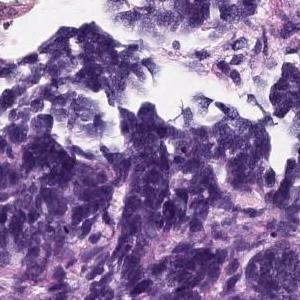
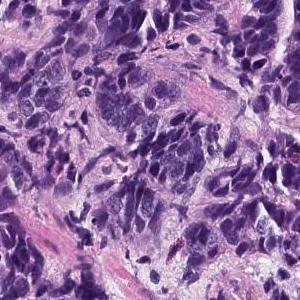
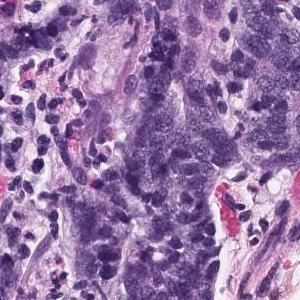
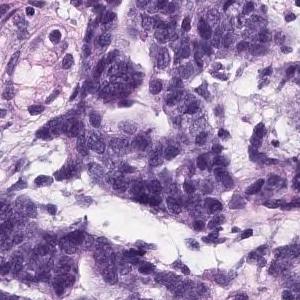
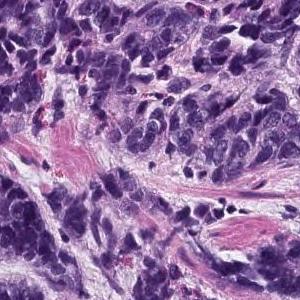
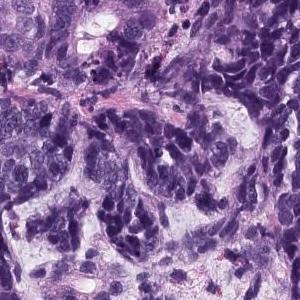
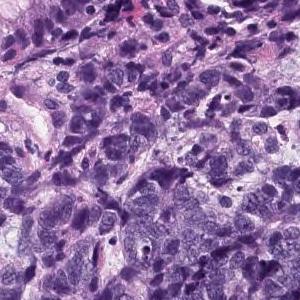
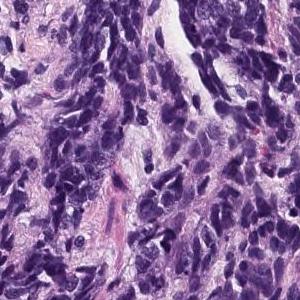
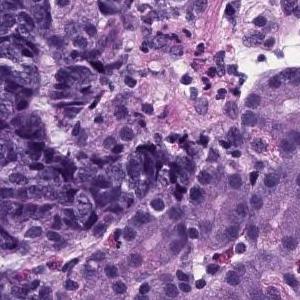
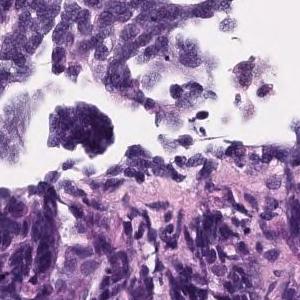
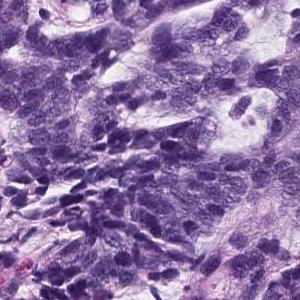
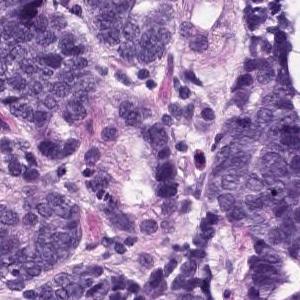
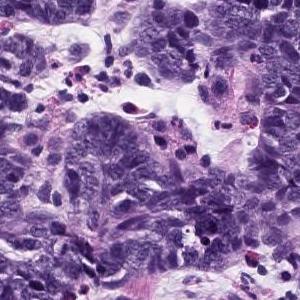
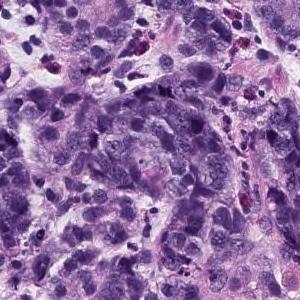
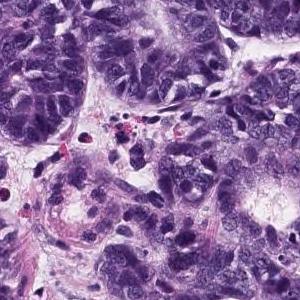
Scanned at ×20; hematoxylin and eosin stain; 15 patches cut from one gastric biopsy slide.
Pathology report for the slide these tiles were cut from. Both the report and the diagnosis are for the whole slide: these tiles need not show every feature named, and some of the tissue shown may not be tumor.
Group 5, Adenocarcinoma. Moderately to poorly differentiated adenocarcinoma
